15 image tiles from a single gastric biopsy slide · hematoxylin and eosin stain · scanned at ×20.
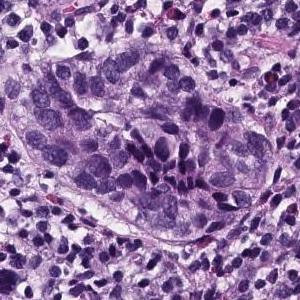
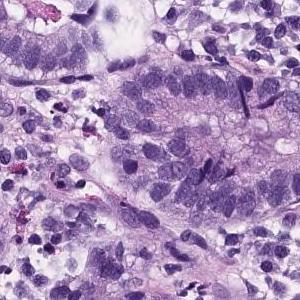
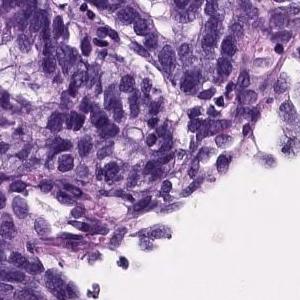
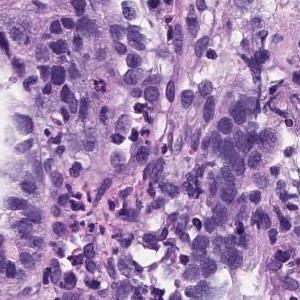
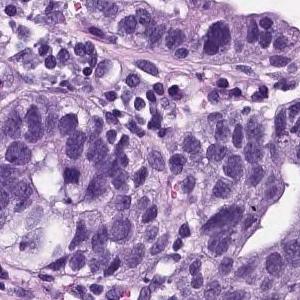
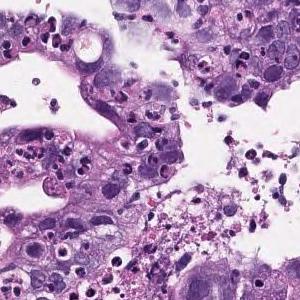
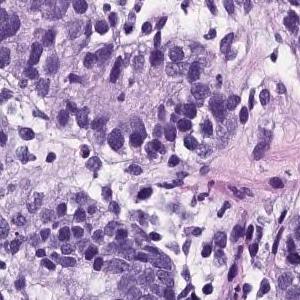
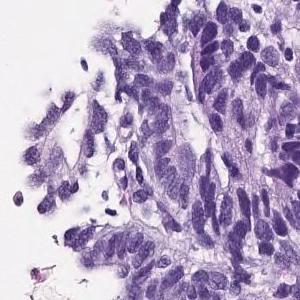
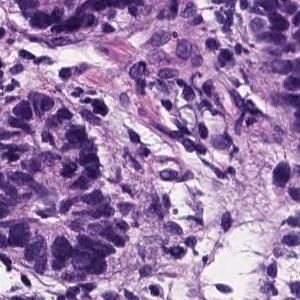
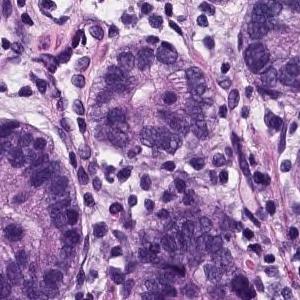
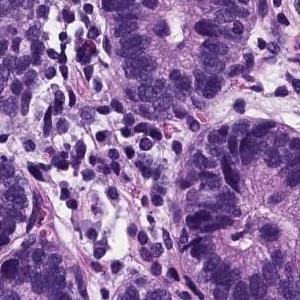
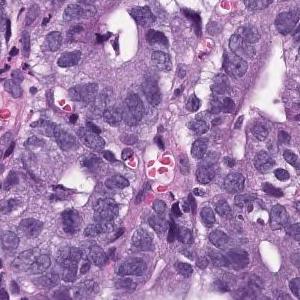
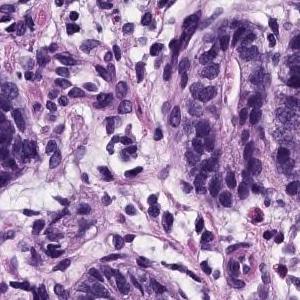
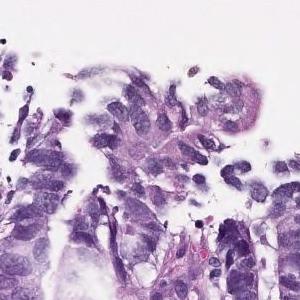
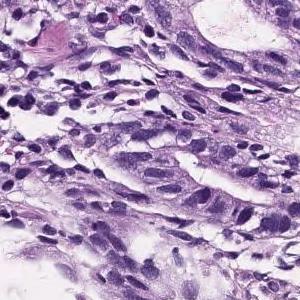
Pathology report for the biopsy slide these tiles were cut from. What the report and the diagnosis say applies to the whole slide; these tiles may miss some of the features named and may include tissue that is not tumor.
On the superficial epithelium, tumor tissue consisting of large, irregular glandular ducts partially fused and infiltrated is observed. Well to moderately differentiated tubular adenocarcinoma (well differentiated tubular adenocarcinoma, moderately differentiated tubular adenocarcinoma)
Labeled in the dataset as well differentiated tubular adenocarcinoma.
